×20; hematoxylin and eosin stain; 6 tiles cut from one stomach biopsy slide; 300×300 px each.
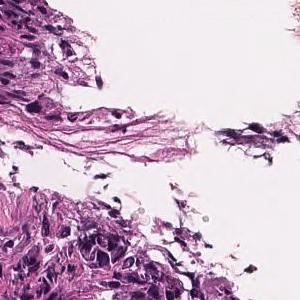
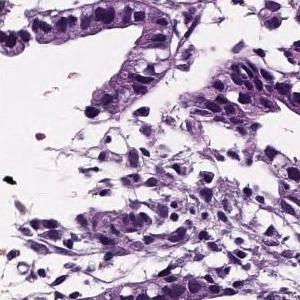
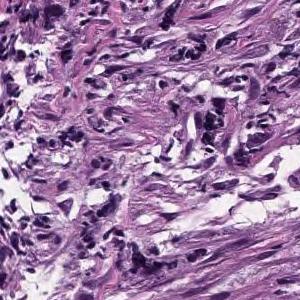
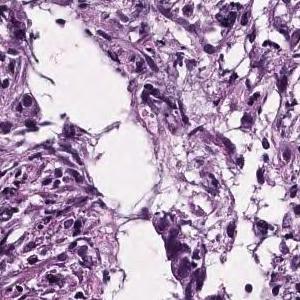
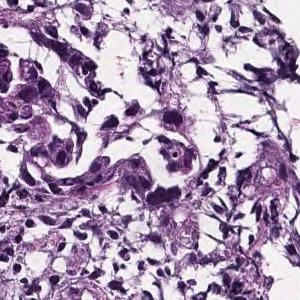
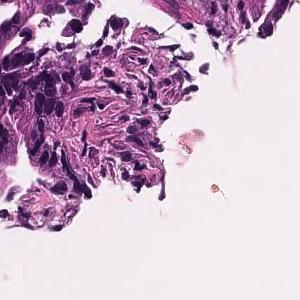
Report on the slide these tiles come from. The report and the diagnosis cover the entire slide, so not every feature they name need be visible here, and some tissue shown may not be tumor.
In the superficial epithelium, tumor tissue that invades by forming medium-sized to small, irregular ducts is observed. moderately differentiated tubular adenocarcinoma.
